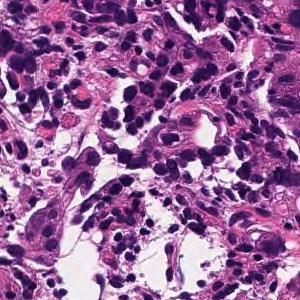
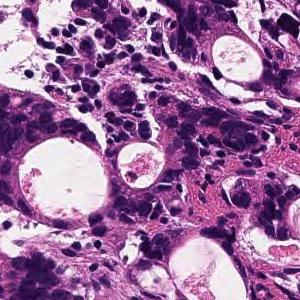
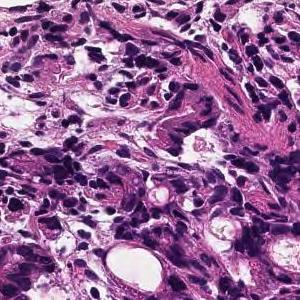
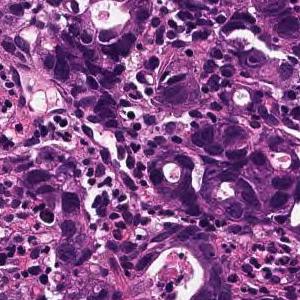
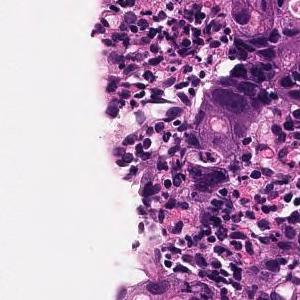
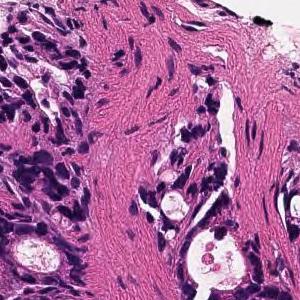
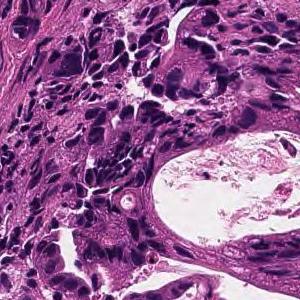
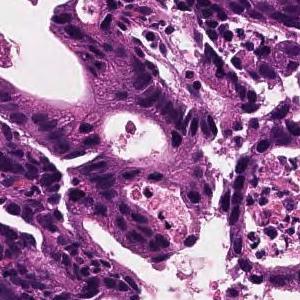
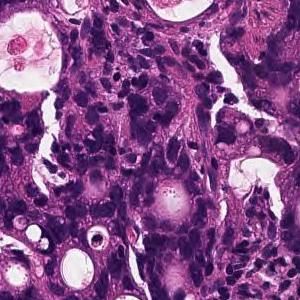
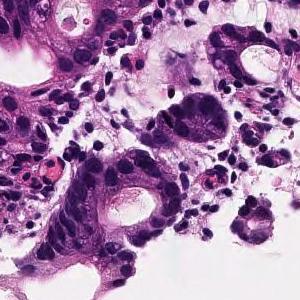
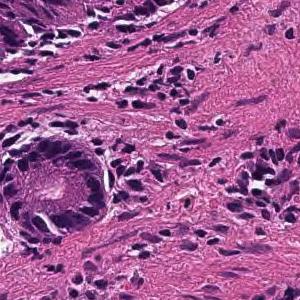
11 tiles cut from one stomach biopsy slide; 300×300 px each.
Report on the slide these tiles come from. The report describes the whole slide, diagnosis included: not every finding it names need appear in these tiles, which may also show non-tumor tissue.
In the superficial epithelium, tumor tissue that invades by forming medium-sized to small, irregular ducts is observed. moderately differentiated tubular adenocarcinoma.
